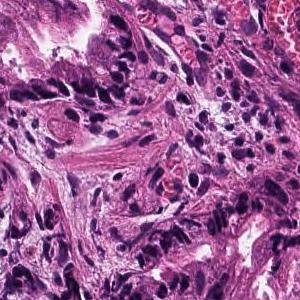
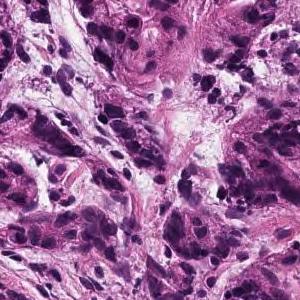
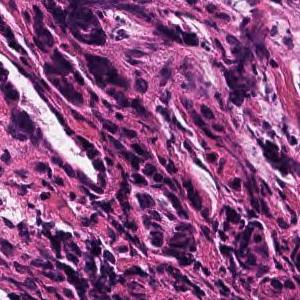
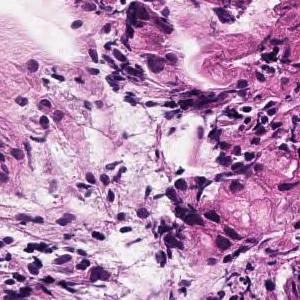
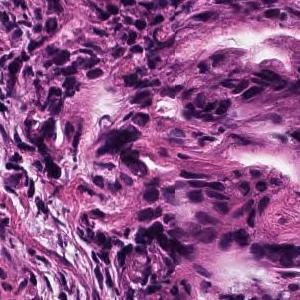
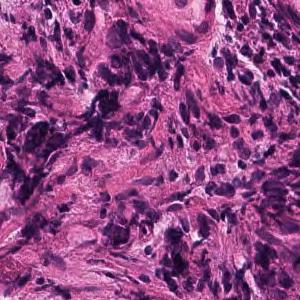
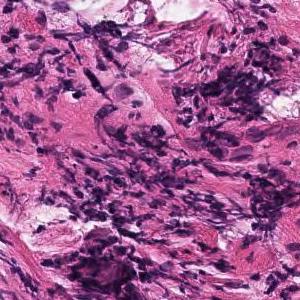
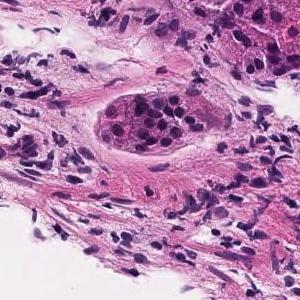
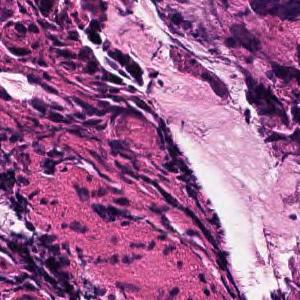
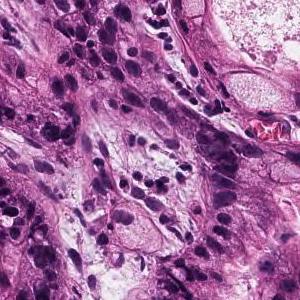
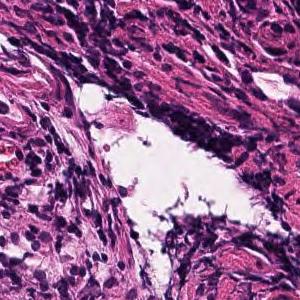
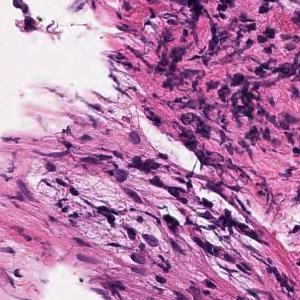
12 tiles from the same stomach biopsy slide; H&E; scanned at ×20.
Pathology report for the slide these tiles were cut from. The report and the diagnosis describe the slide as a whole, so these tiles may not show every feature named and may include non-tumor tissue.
Proliferation of small, irregular tubular glandular ducts with fusion is seen just above the muscularis mucosae in the lamina propria. moderately differentiated tubular adenocarcinoma
